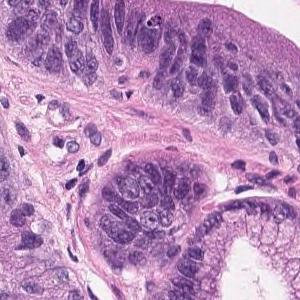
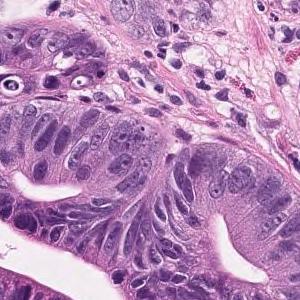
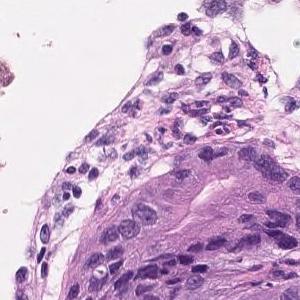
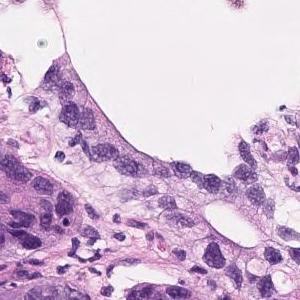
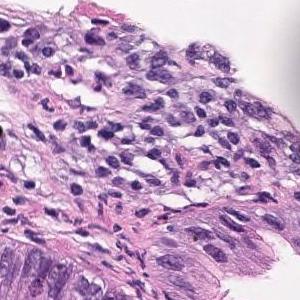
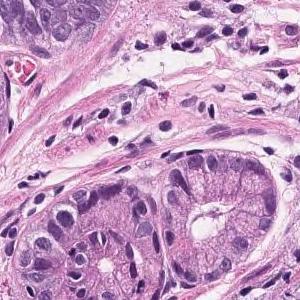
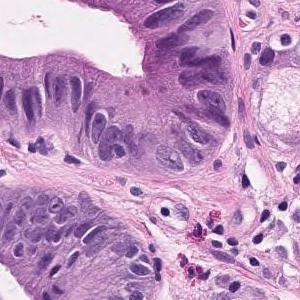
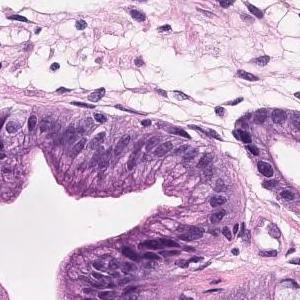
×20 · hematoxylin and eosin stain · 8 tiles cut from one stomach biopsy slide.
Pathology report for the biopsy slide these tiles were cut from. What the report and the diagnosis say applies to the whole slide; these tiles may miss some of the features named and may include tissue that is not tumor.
Atypical ducts that branch intricately are observed. Well differentiated tubular adenocarcinoma
